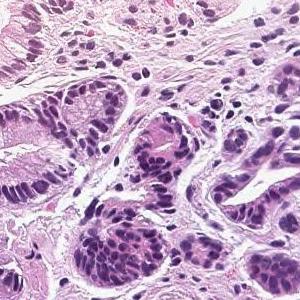
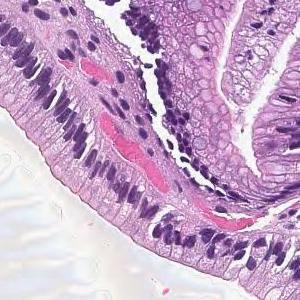
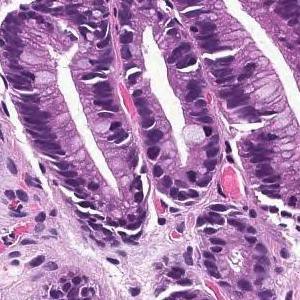
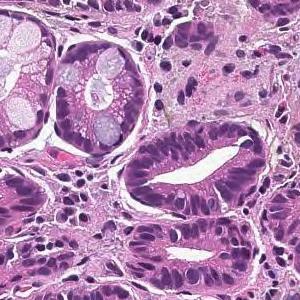
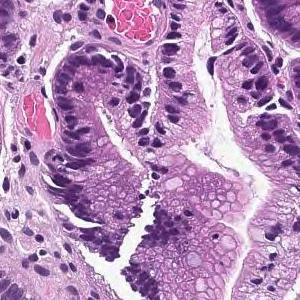
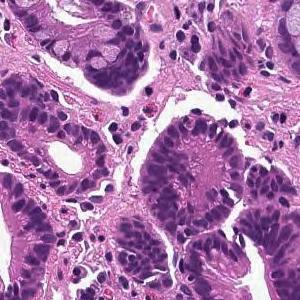
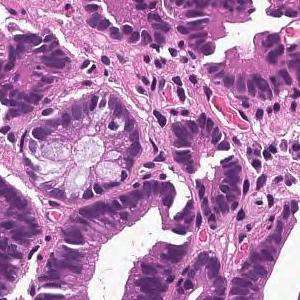
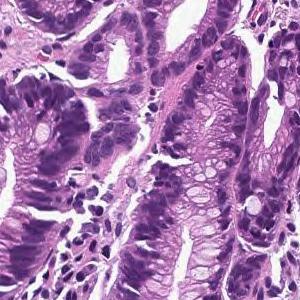
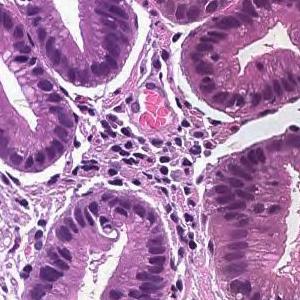
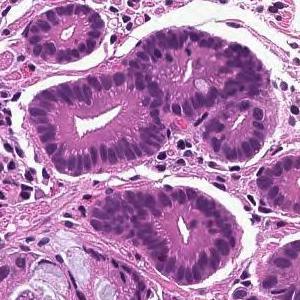
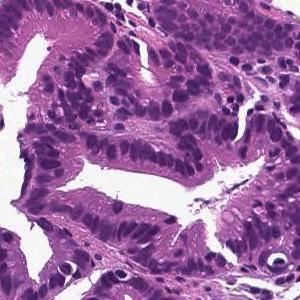
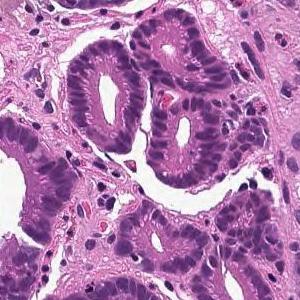
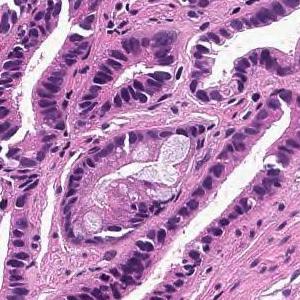
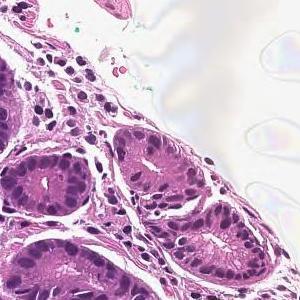
14 patches cut from one gastric biopsy slide, 20× magnification, H&E.
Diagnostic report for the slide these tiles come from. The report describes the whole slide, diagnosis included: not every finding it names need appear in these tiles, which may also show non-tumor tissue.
From the superficial epithelium to the muscularis mucosae, tumor tissue consisting of medium-sized and irregular glandular ducts infiltrating is observed. Well differentiated tubular adenocarcinoma
